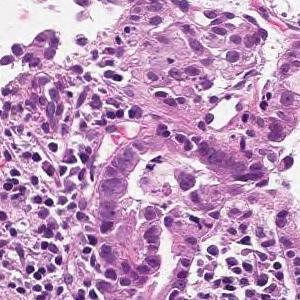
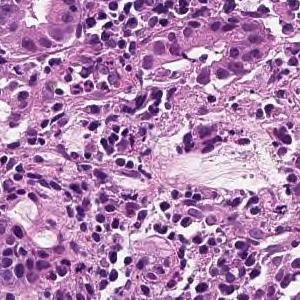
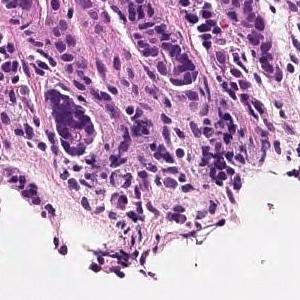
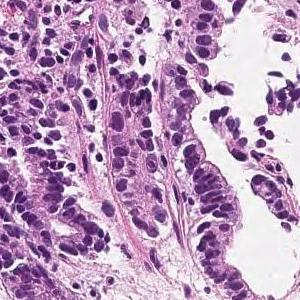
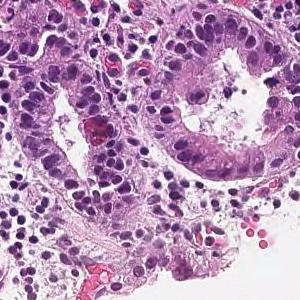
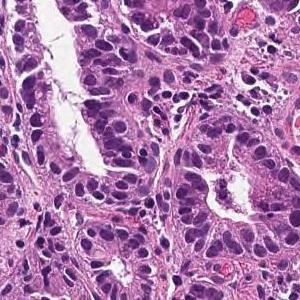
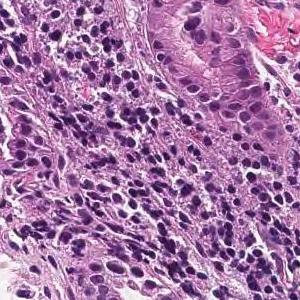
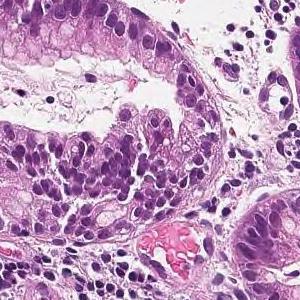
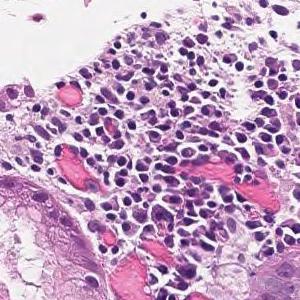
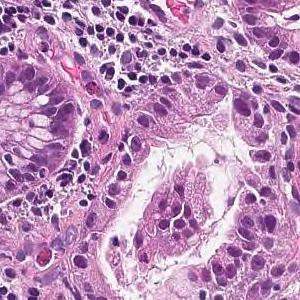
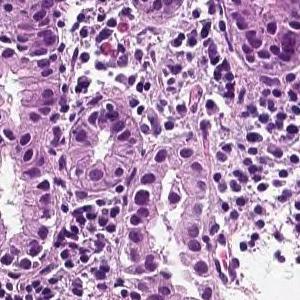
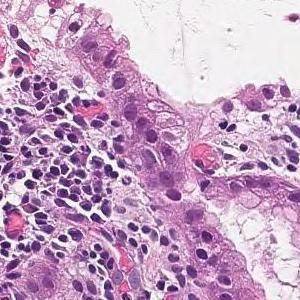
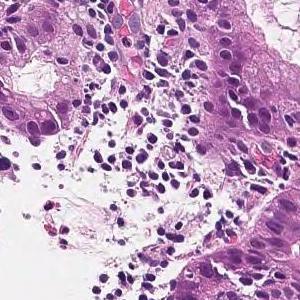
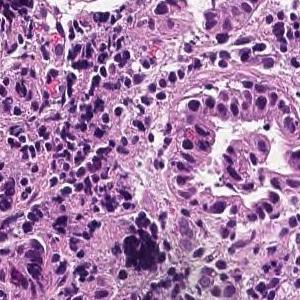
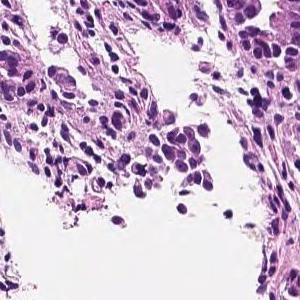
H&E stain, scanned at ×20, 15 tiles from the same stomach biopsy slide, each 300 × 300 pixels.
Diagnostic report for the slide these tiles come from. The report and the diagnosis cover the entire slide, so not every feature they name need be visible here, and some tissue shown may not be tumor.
In the superficial epithelium, tumor tissue that invades by forming medium-sized to small, irregular ducts is observed. moderately differentiated tubular adenocarcinoma.
